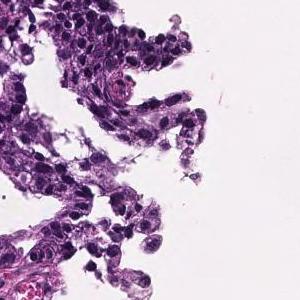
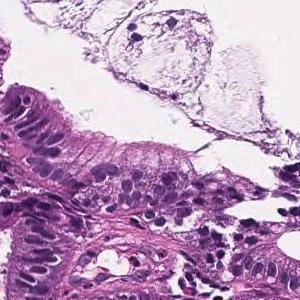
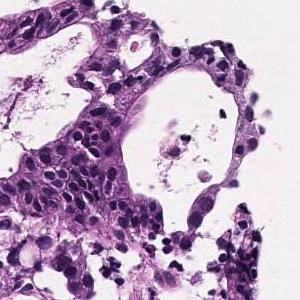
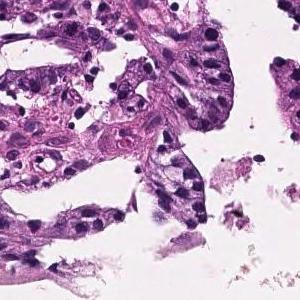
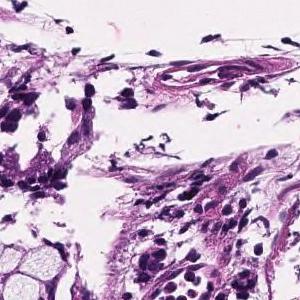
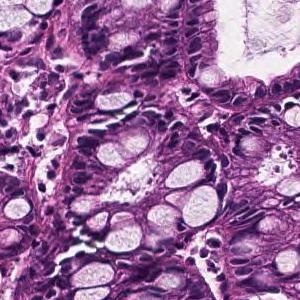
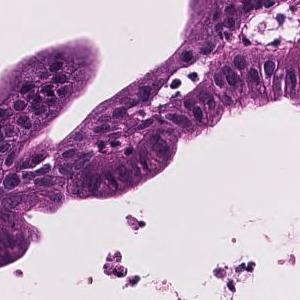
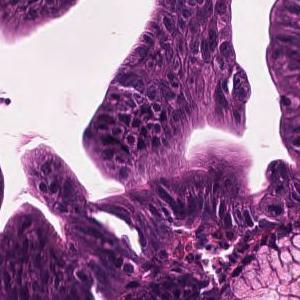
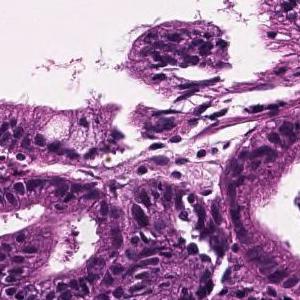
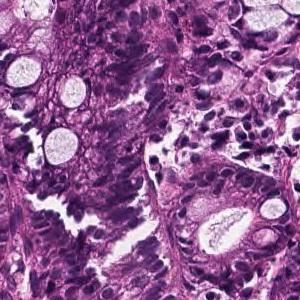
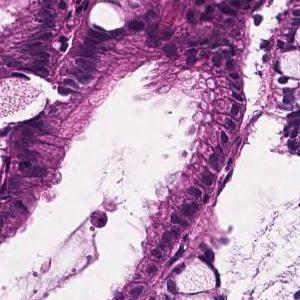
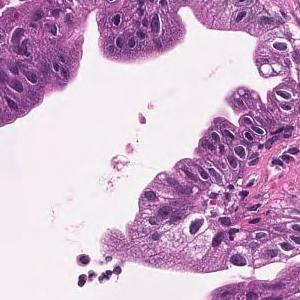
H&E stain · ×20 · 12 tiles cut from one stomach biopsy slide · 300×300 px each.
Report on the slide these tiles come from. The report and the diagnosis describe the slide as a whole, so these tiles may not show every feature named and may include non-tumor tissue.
In the superficial epithelium, tumor tissue that invades by forming medium-sized to small, irregular ducts is observed. Well differentiated tubular adenocarcinoma.
